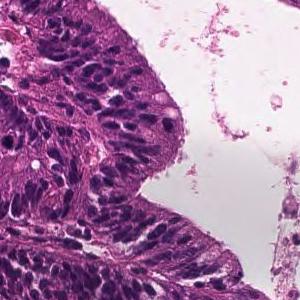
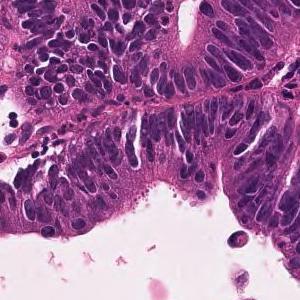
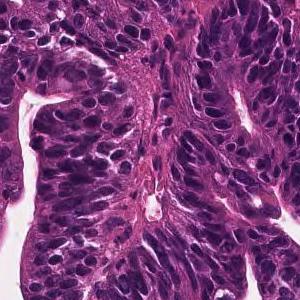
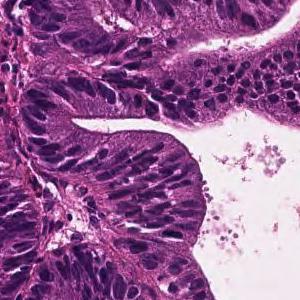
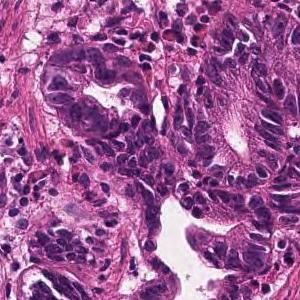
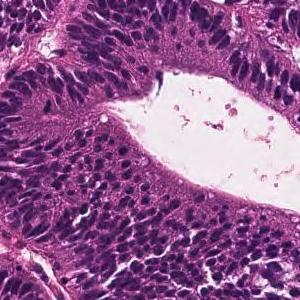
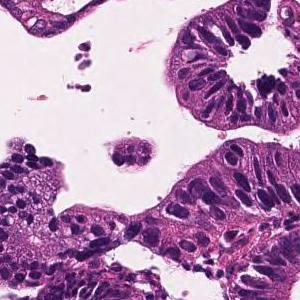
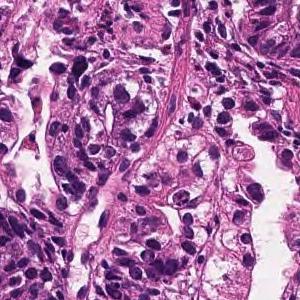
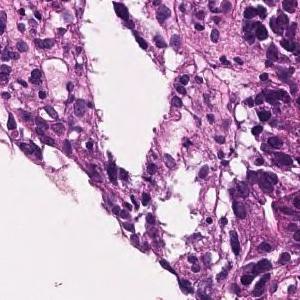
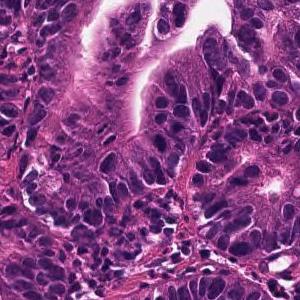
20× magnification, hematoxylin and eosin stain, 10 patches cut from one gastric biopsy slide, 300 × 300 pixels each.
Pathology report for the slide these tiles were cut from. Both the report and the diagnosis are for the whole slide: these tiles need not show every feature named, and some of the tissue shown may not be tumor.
A large irregular tubular structure is exhibited in the epithelium, and tumor tissue that partially fuses and infiltrates and proliferates is observed. Large columnar tumor cells exhibit enlarged nucleus, hyperchromatism, and mitotic figures. Well differentiated tubular adenocarcinoma
